4 tiles cut from one stomach biopsy slide · 300×300 px each · H&E stain · ×20.
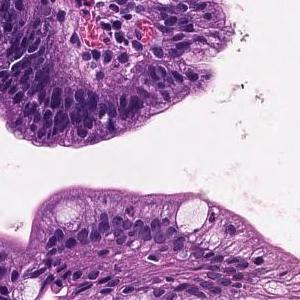
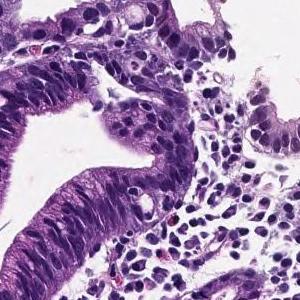
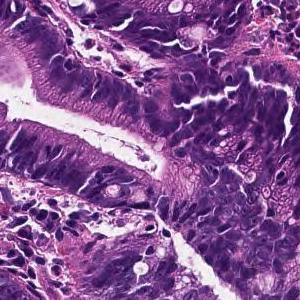
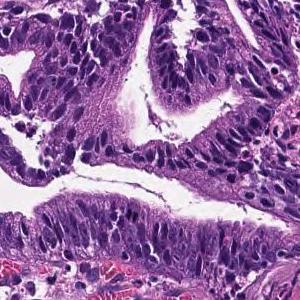
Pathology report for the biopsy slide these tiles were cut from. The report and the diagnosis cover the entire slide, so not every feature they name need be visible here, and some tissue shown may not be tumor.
From the superficial epithelium to the muscularis mucosae, tumor tissue consisting of medium-sized and irregular glandular ducts infiltrating is observed. Well differentiated tubular adenocarcinoma
